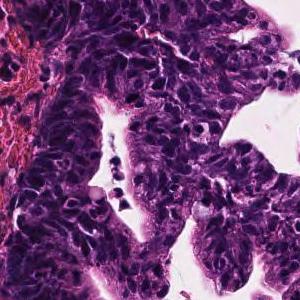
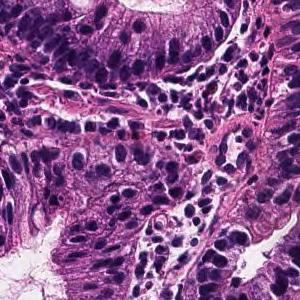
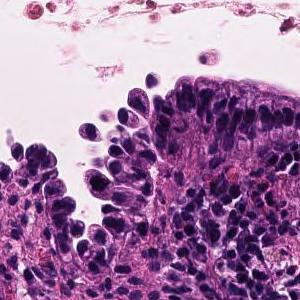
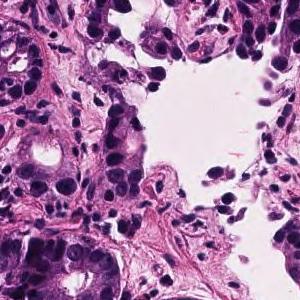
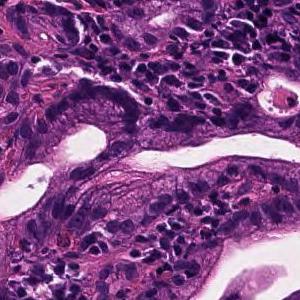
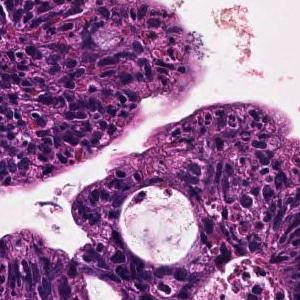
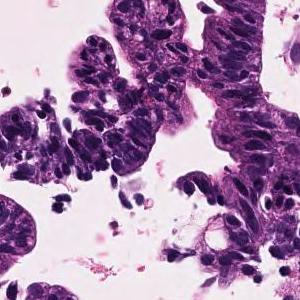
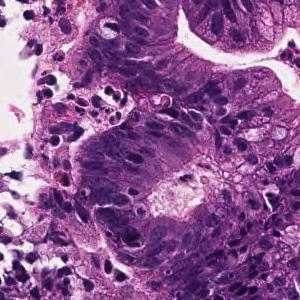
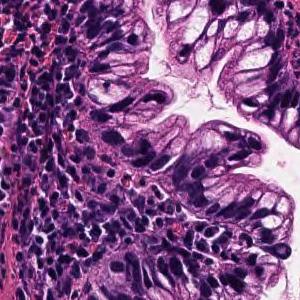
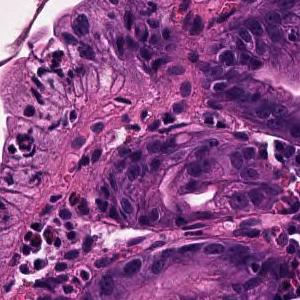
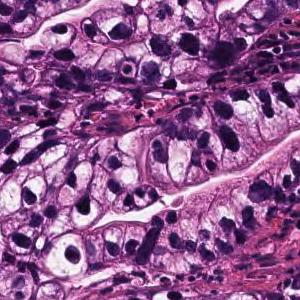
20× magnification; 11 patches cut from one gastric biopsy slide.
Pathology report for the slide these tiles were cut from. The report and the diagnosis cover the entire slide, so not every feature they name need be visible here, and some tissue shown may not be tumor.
Tumor cells are large, highly columnar, large club-shaped nuclei, and are associated with chromatin aggregation. Papillary adenocarcinoma.
